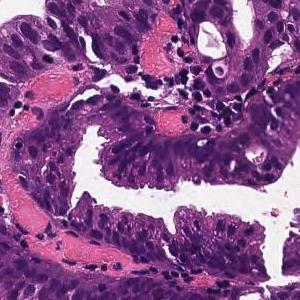
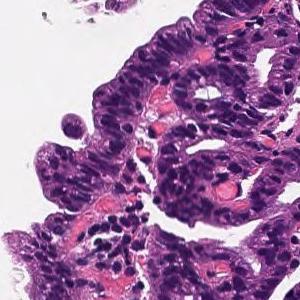
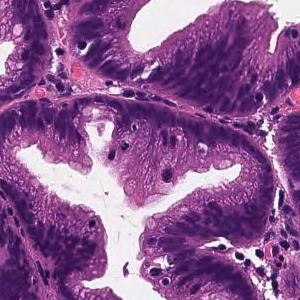
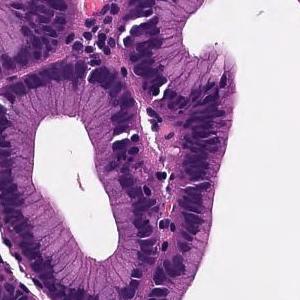
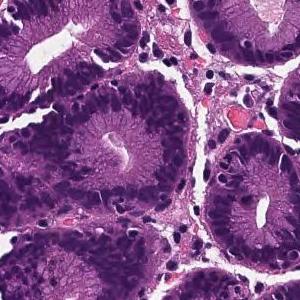
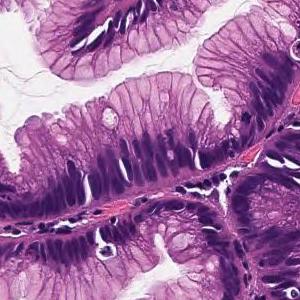
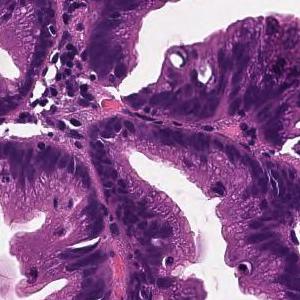
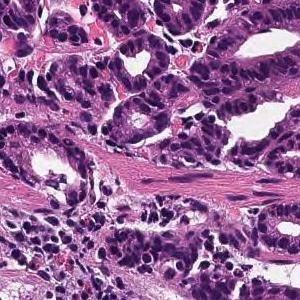
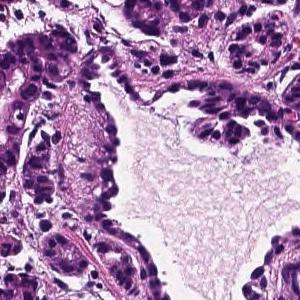
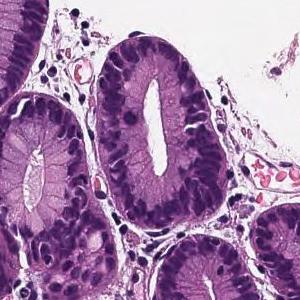
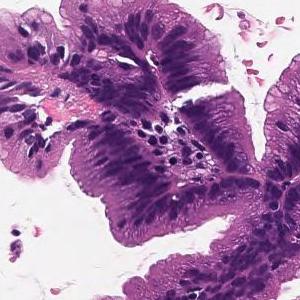
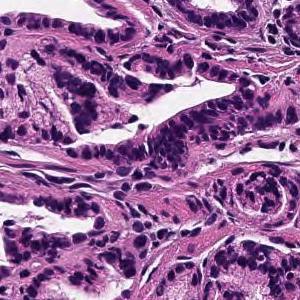
Hematoxylin and eosin stain, 12 tiles from the same stomach biopsy slide.
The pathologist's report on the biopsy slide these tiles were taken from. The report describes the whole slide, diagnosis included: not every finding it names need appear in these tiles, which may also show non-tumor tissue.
Cells with elliptical or atypical nuclei form dense ducts with relatively clear growth. Well differentiated tubular adenocarcinoma
